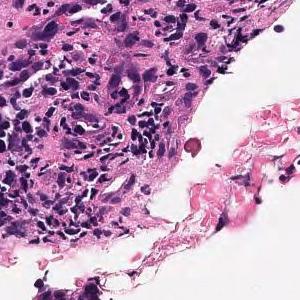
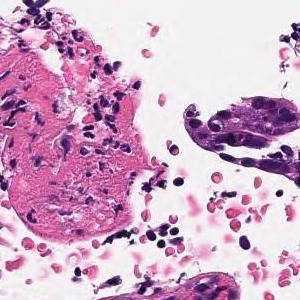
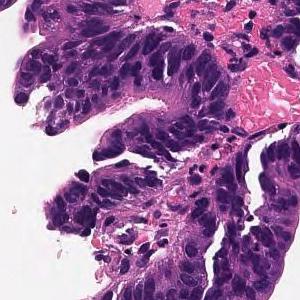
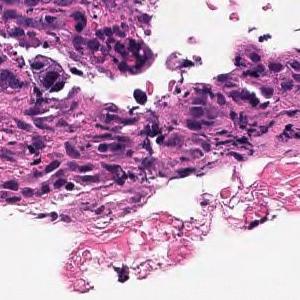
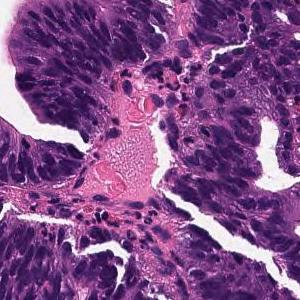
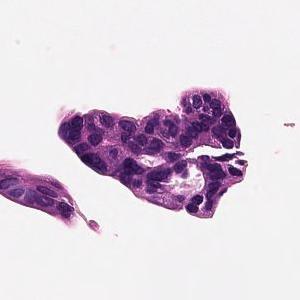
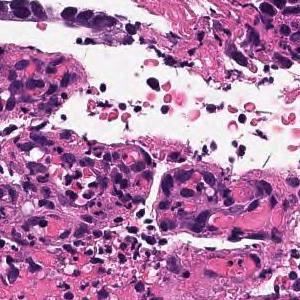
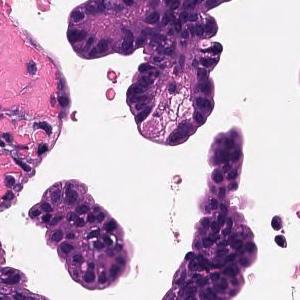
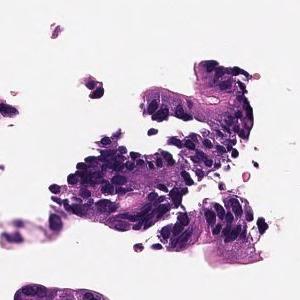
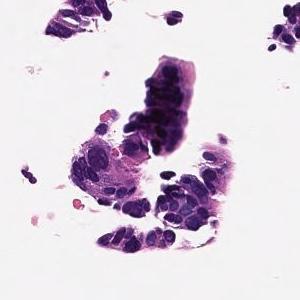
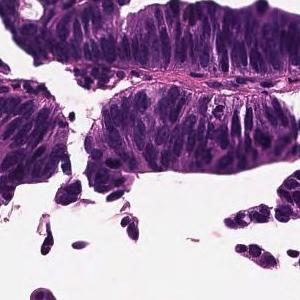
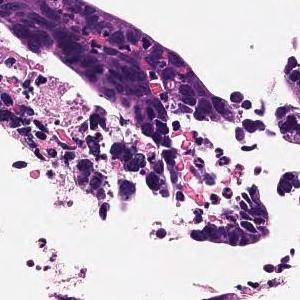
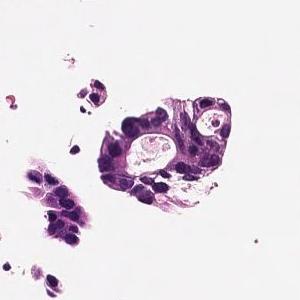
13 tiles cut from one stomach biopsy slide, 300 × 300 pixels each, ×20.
Report on the slide these tiles come from. The findings and the diagnosis refer to the entire slide; these tiles show only part of it, possibly with non-tumor tissue, and may not show every feature named.
Tumor cells are large, highly columnar, large club-shaped nuclei, and are associated with chromatin aggregation. Papillary adenocarcinoma.
